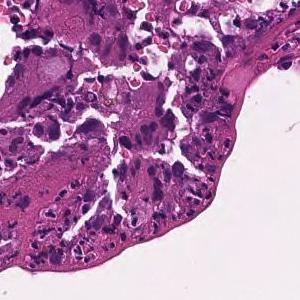
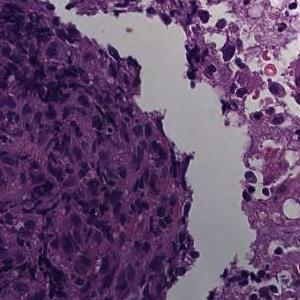
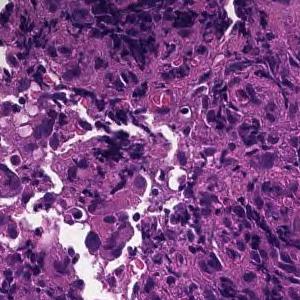
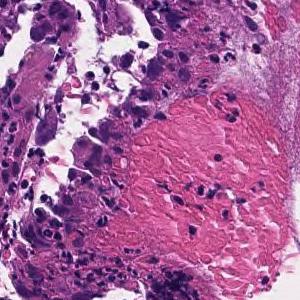
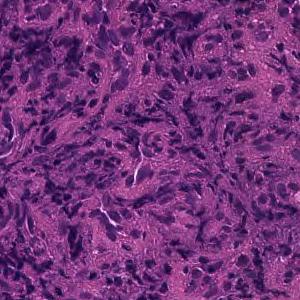
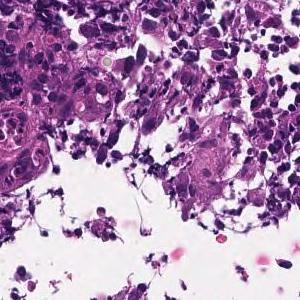
H&E stain; scanned at ×20; 6 patches cut from one gastric biopsy slide.
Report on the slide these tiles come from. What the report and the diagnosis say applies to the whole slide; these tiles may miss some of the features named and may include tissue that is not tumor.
Tumor cells are medium to large, cuboidal, and have little tendency to differentiate. Poorly differentiated adenocarcinoma, solid-type  or moderately differentiated tubular adenocarcinoma
Labeled in the dataset as poorly differentiated adenocarcinoma, solid type, a category of the Japanese Classification of Gastric Carcinoma; in the WHO 2019 classification it is tubular adenocarcinoma, poorly differentiated.
